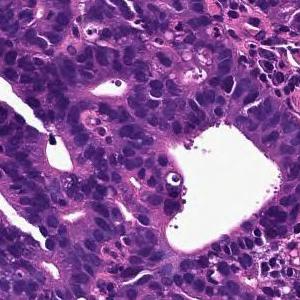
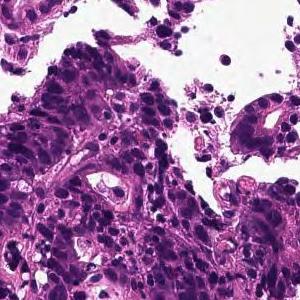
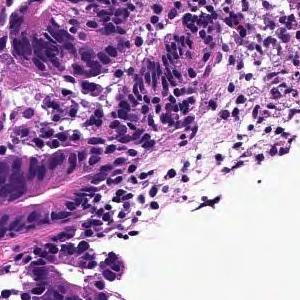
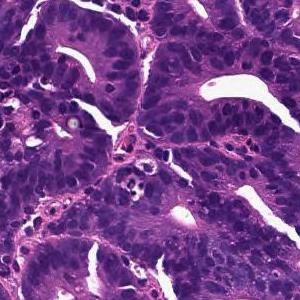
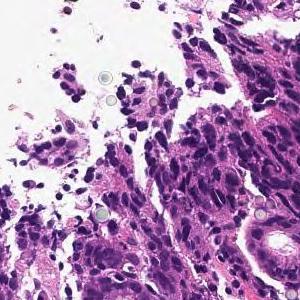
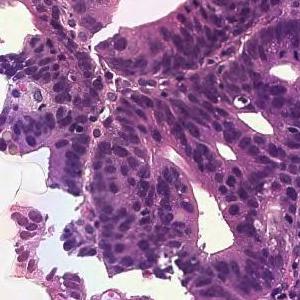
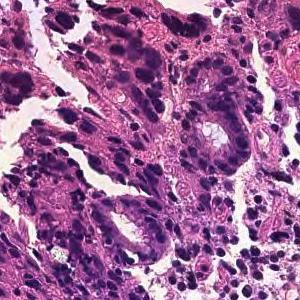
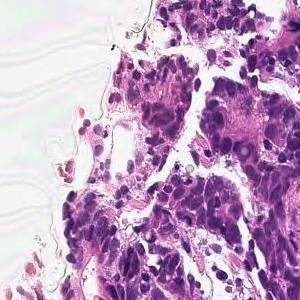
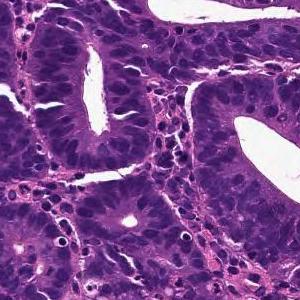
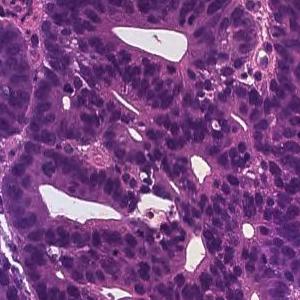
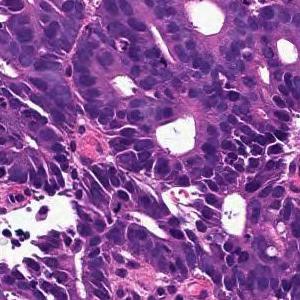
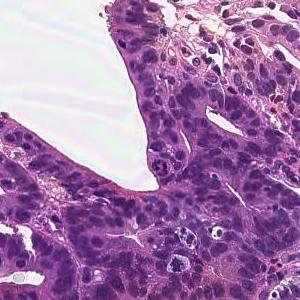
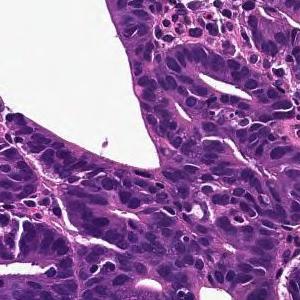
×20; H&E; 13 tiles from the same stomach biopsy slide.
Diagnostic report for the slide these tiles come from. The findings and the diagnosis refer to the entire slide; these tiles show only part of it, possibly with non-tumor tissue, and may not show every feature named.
On the superficial epithelium, tumor tissue consisting of large irregular glandular ducts partially fused and infiltrated is observed. Well to moderately differentiated tubular adenocarcinoma (well differentiated tubular adenocarcinoma, moderately differentiated tubular adenocarcinoma)
Classified as well to moderately differentiated tubular adenocarcinoma.
